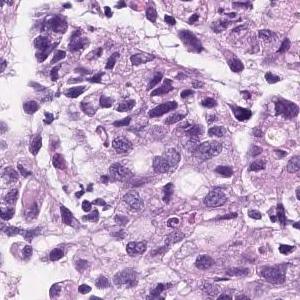
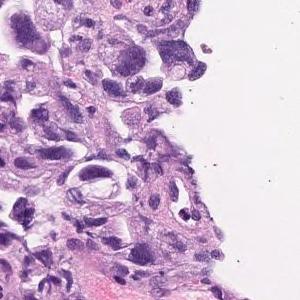
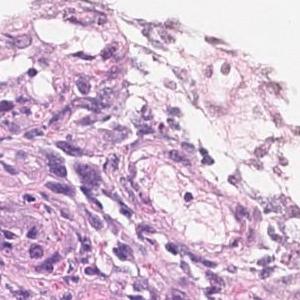
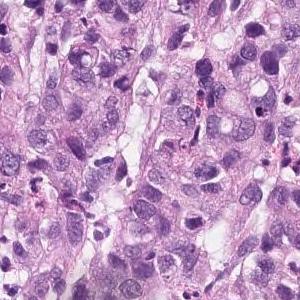
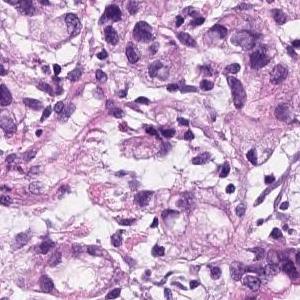
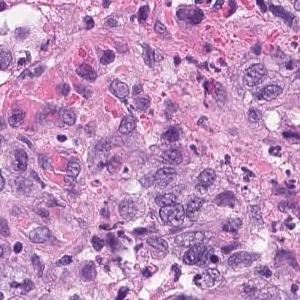
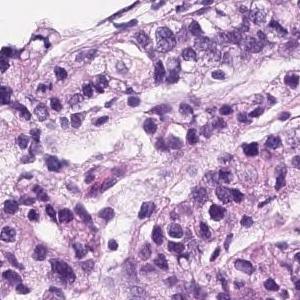
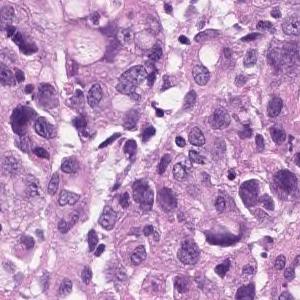
8 tiles cut from one stomach biopsy slide; each 300 × 300 pixels; H&E stain.
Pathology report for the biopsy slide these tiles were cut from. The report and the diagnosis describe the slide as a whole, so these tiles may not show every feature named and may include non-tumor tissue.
Group 5, Adenocarcinoma. Poorly differentiated adenocarcinoma, non-solid type
"Non-solid type" is a category of the Japanese Classification of Gastric Carcinoma.
